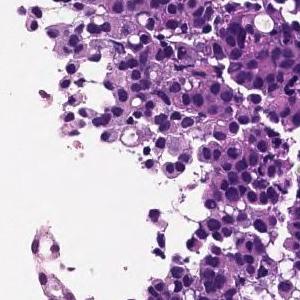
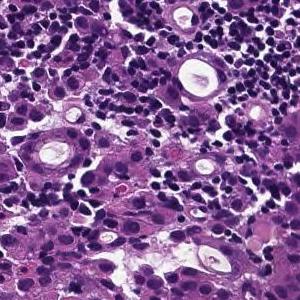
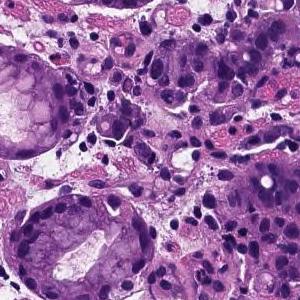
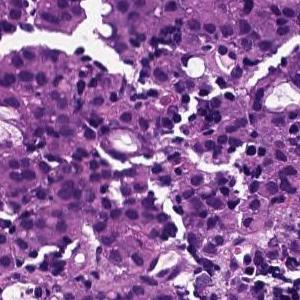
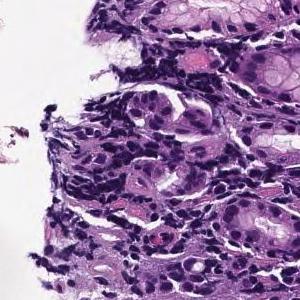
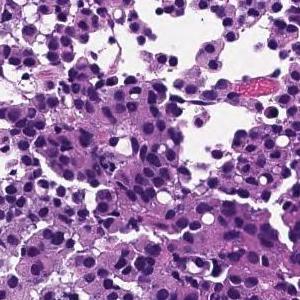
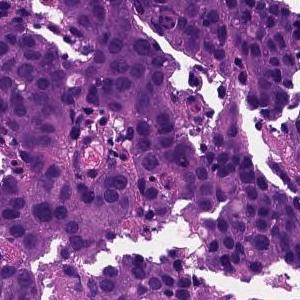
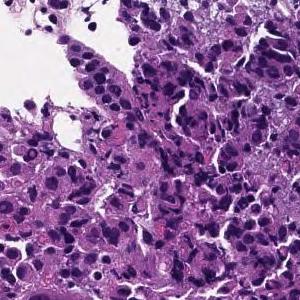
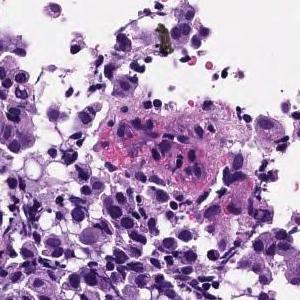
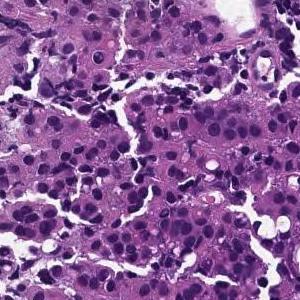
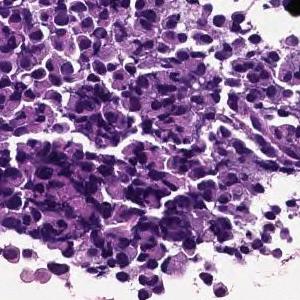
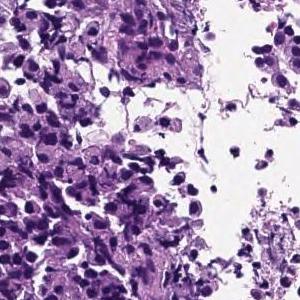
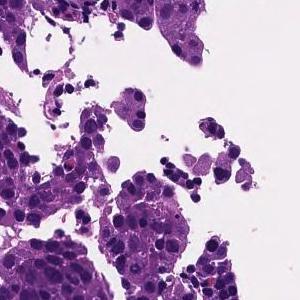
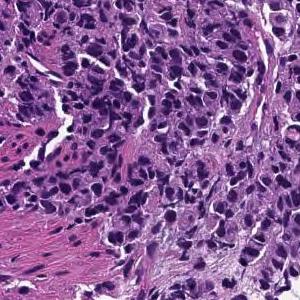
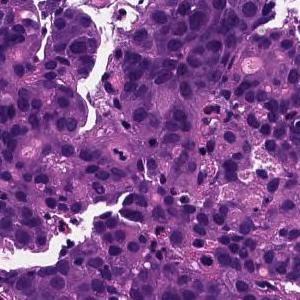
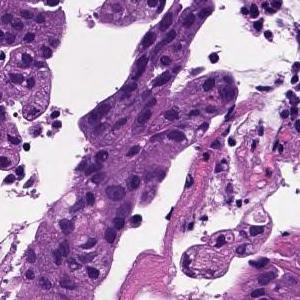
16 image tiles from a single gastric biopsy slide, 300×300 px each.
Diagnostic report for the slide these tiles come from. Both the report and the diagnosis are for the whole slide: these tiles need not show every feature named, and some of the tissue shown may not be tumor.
The superficial epithelium shows a large sheet-like shape, and some tumor tissue infiltrates with small irregular ducts. Poorly differentiated adenocarcinoma, solid-type
Histological subtype: Poorly differentiated adenocarcinoma, solid type (Japanese Classification of Gastric Carcinoma). The WHO 2019 equivalent is tubular adenocarcinoma, poorly differentiated.
